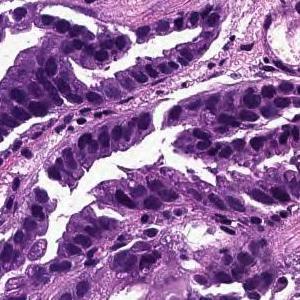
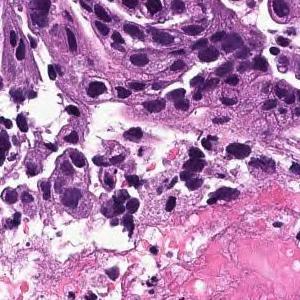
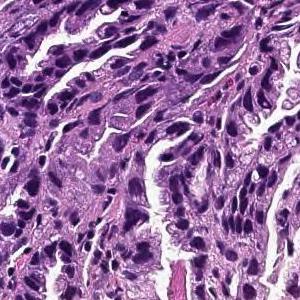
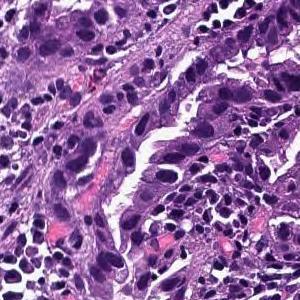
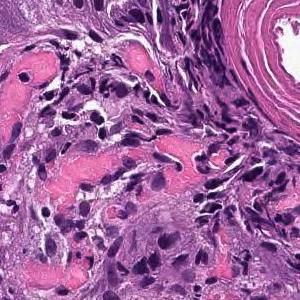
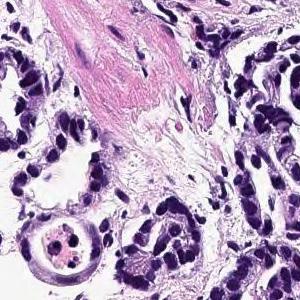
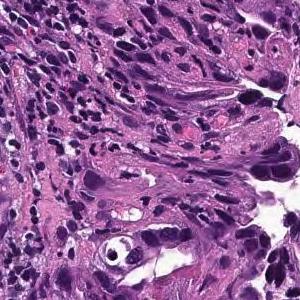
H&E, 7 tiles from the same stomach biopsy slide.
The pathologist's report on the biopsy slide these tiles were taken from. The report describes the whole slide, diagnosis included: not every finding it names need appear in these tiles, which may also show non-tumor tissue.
Tumor cells are large, highly columnar, large club-shaped nuclei, and are associated with chromatin aggregation. Papillary adenocarcinoma.
